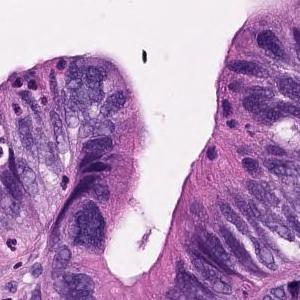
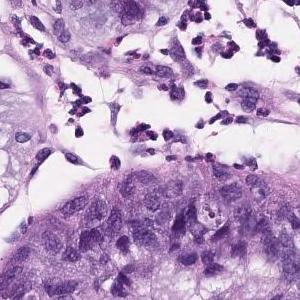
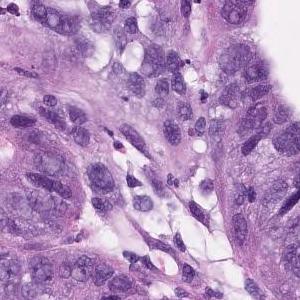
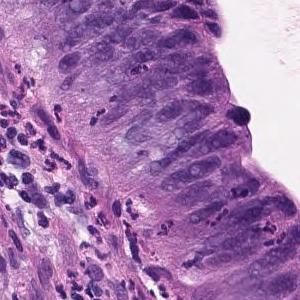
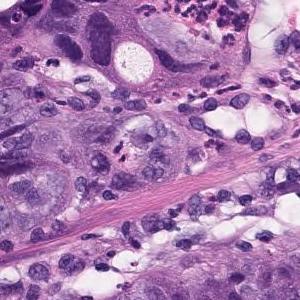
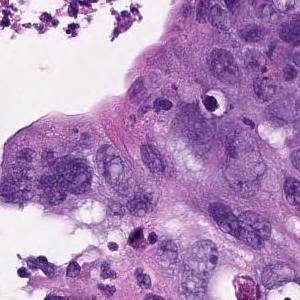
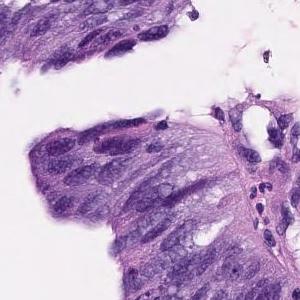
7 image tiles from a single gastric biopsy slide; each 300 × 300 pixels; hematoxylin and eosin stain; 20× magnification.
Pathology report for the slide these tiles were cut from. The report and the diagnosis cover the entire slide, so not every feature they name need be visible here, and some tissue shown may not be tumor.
In the superficial epithelium, tumor tissue that invades by forming medium-sized to small, irregular ducts is observed. Moderately differentiated adenocarcinoma.
Histological subtype: Moderately differentiated tubular adenocarcinoma.
